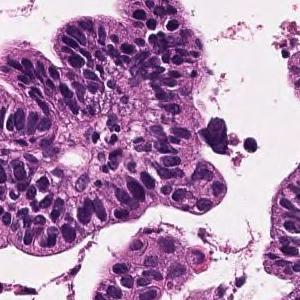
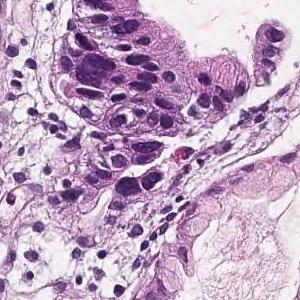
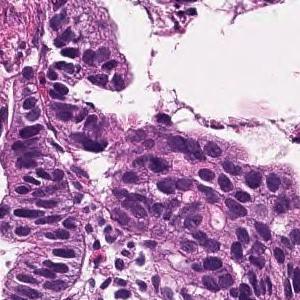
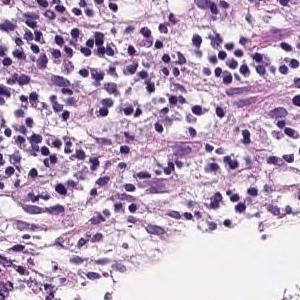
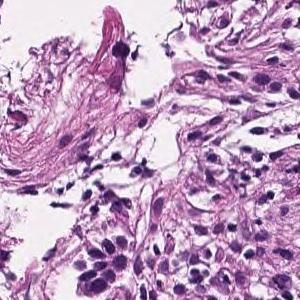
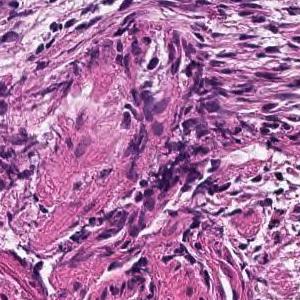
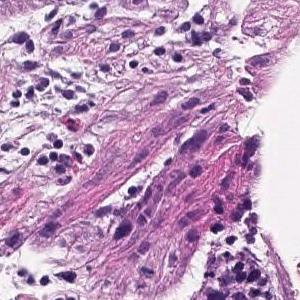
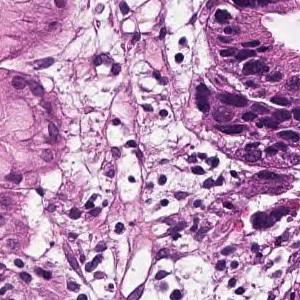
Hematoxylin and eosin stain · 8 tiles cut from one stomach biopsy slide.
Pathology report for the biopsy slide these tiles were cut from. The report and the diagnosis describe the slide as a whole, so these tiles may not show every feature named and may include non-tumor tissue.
On the superficial epithelium, tumor tissue consisting of large, irregular glandular ducts partially fused and infiltrated is observed. Well to moderately differentiated tubular adenocarcinoma (well differentiated tubular adenocarcinoma, moderately differentiated tubular adenocarcinoma)
Subtype: Well to moderately differentiated tubular adenocarcinoma.
